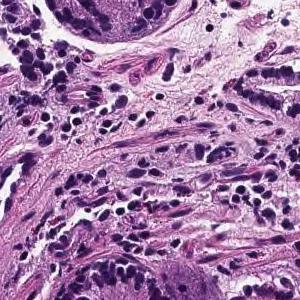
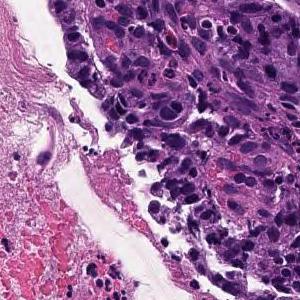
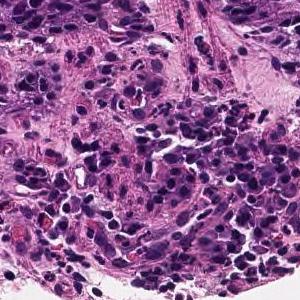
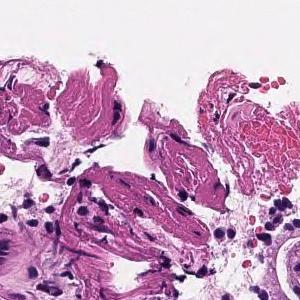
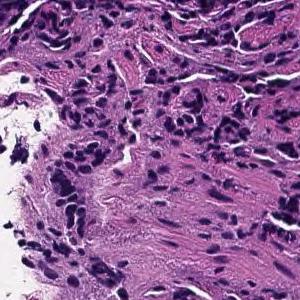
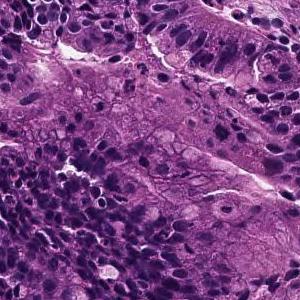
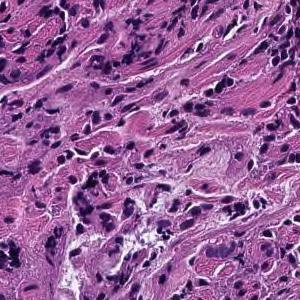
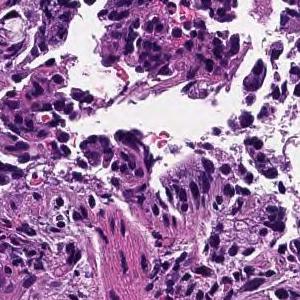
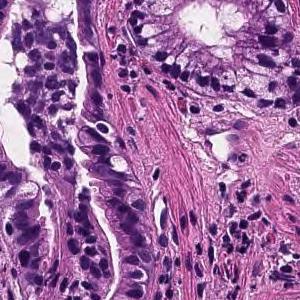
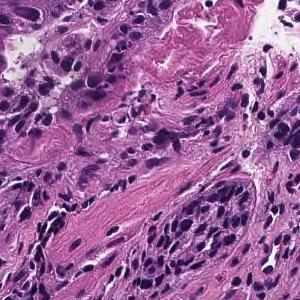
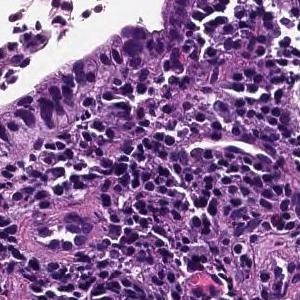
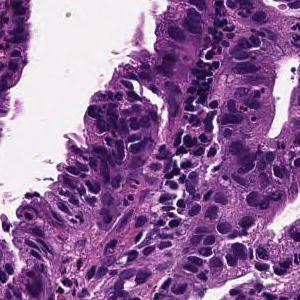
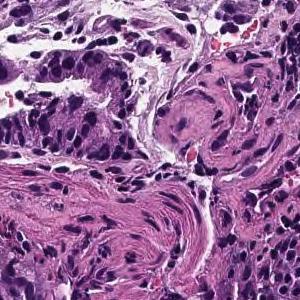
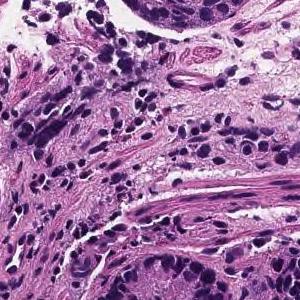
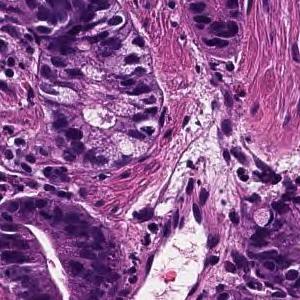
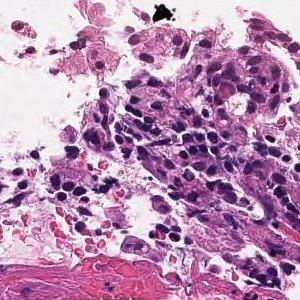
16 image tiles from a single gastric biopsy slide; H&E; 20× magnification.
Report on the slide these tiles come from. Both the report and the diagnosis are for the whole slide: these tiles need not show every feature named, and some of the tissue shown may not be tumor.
From the superficial epithelium to the muscularis mucosae, tumor tissue consisting of medium-sized and irregular glandular ducts infiltrating is observed. Well differentiated tubular adenocarcinoma
